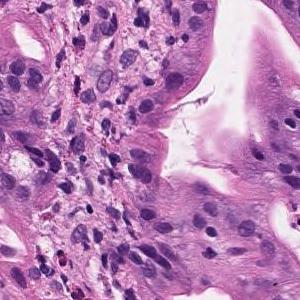
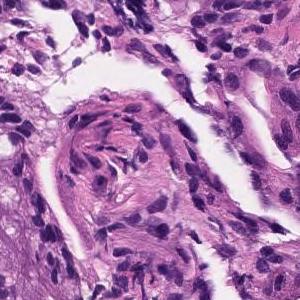
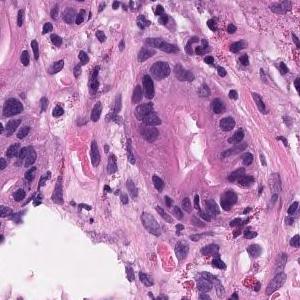
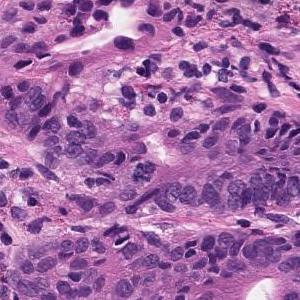
Hematoxylin and eosin stain; scanned at ×20; 4 patches cut from one gastric biopsy slide; each 300 × 300 pixels.
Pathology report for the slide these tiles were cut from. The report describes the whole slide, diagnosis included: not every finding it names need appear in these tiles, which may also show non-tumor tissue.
moderately differentiated tubular adenocarcinoma, Poorly differentiated adenocarcinoma
Dataset label: poorly differentiated adenocarcinoma, solid type. This name comes from the Japanese Classification of Gastric Carcinoma; the WHO 2019 classification calls it tubular adenocarcinoma, poorly differentiated.
